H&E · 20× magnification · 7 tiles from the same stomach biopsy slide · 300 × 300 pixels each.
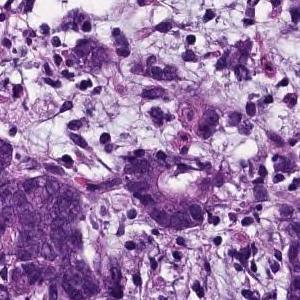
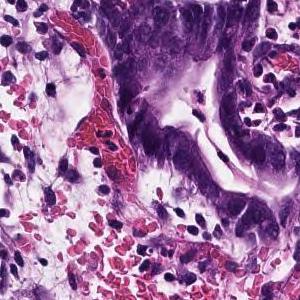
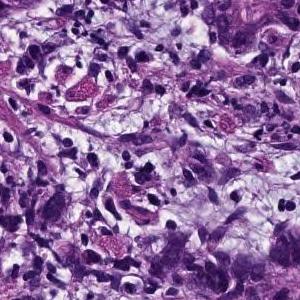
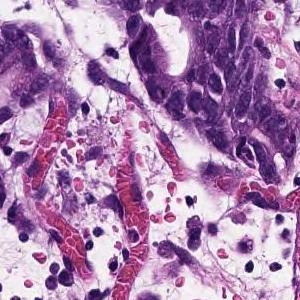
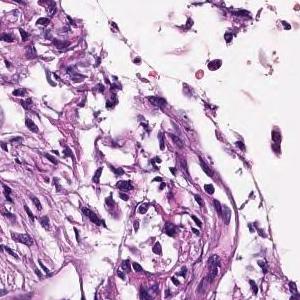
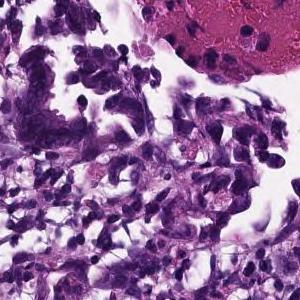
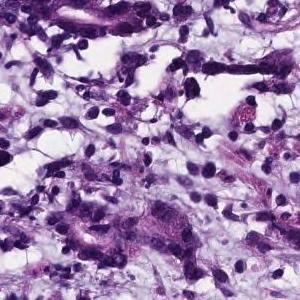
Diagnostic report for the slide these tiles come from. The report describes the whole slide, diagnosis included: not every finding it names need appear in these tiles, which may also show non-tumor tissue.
Tumor tissue consisting of medium-sized, cord-like or irregular glandular infiltration is observed in the superficial epithelium. Poorly differentiated adenocarcinoma, non-solid type or moderately differentiated tubular adenocarcinoma
Histological subtype: Moderately to poorly differentiated adenocarcinoma.
"Non-solid type" is a category of the Japanese Classification of Gastric Carcinoma.
